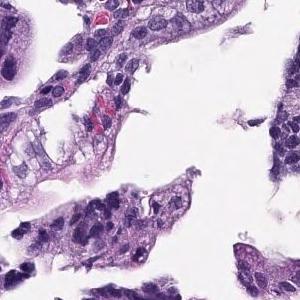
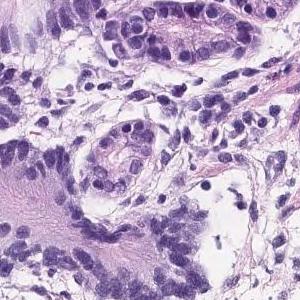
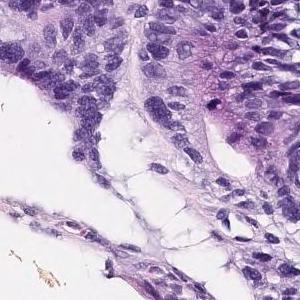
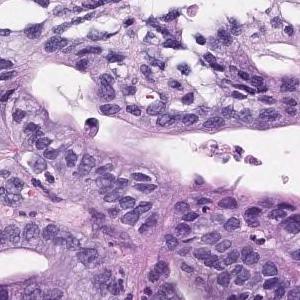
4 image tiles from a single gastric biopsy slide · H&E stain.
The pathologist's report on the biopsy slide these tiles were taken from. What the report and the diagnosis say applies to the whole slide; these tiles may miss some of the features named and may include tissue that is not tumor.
On the superficial epithelium, tumor tissue consisting of medium-sized to large-sized, round or irregular glandular duct growth images is observed. Well differentiated adenocarcinoma.
Classified as well differentiated tubular adenocarcinoma.
